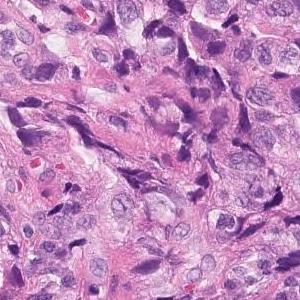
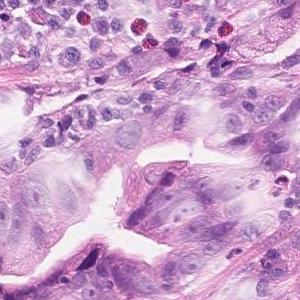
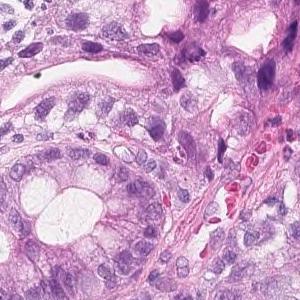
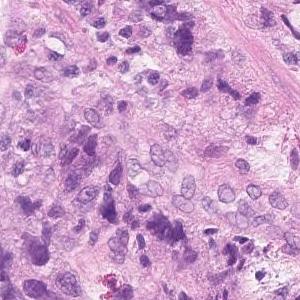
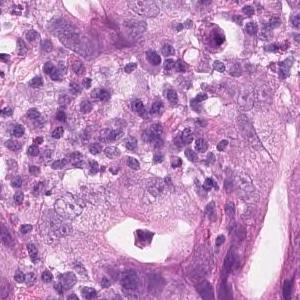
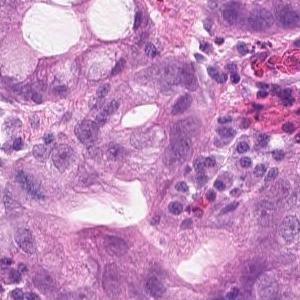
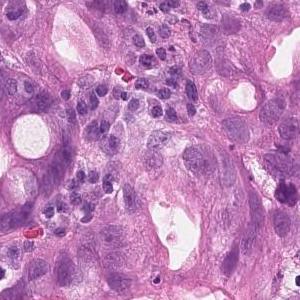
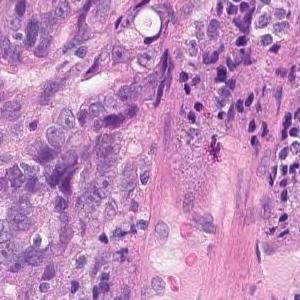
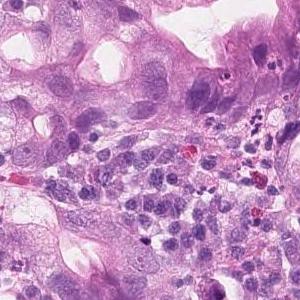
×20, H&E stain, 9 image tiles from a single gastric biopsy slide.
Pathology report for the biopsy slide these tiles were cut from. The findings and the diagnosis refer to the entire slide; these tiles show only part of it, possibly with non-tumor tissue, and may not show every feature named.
Tumor tissue showing dense, fused or diffuse, and infiltrative growth of small atypical ducts is observed. moderately differentiated tubular adenocarcinoma
